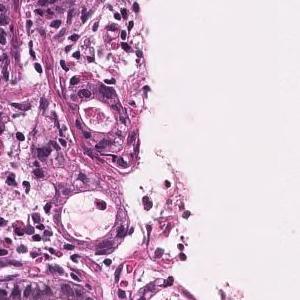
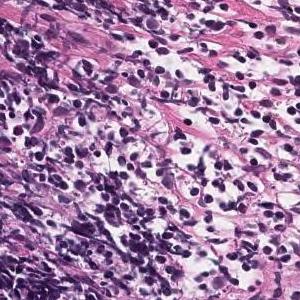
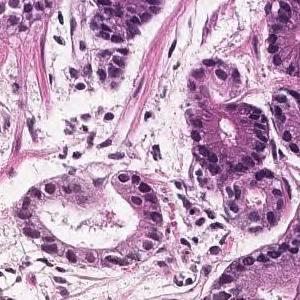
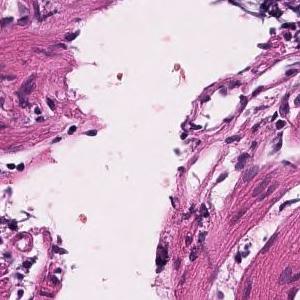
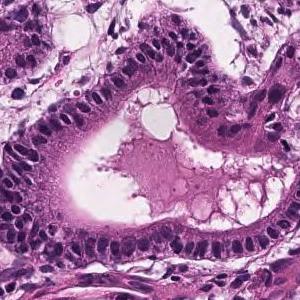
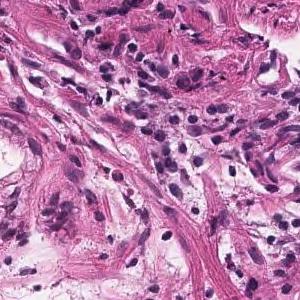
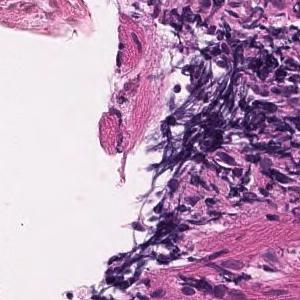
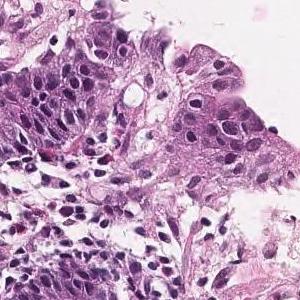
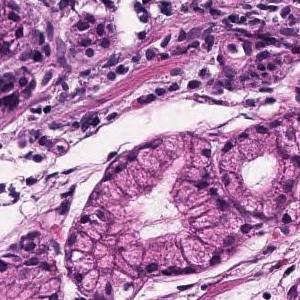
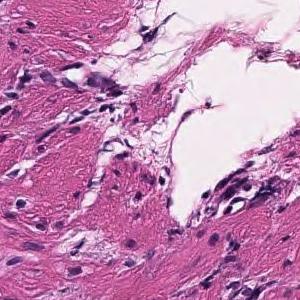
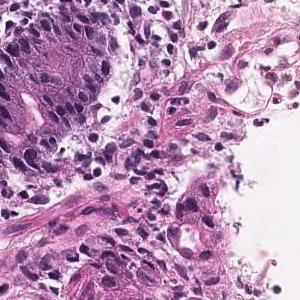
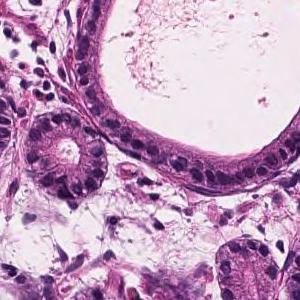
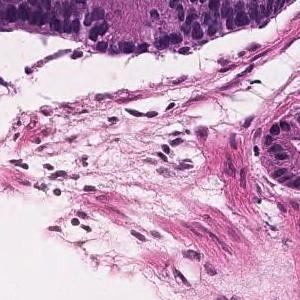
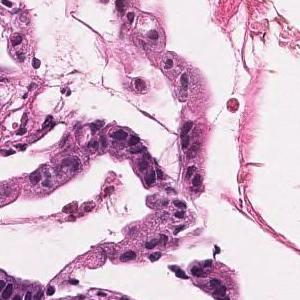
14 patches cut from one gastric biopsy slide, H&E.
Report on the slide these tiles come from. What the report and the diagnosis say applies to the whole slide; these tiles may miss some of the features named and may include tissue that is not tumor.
Tumor tissue with atypical epithelium showing irregular ductal or sieving ductal structure and proliferating is observed. Well to moderately differentiated tubular adenocarcinoma (well differentiated tubular adenocarcinoma-moderately differentiated tubular adenocarcinoma)
Tumor subtype: well to moderately differentiated tubular adenocarcinoma.
